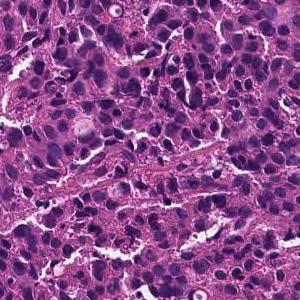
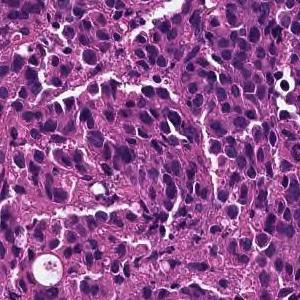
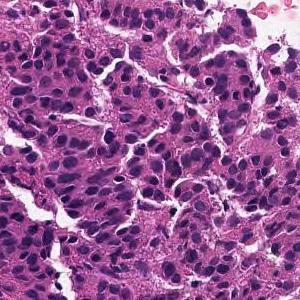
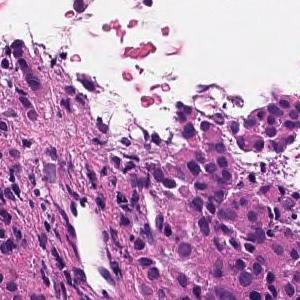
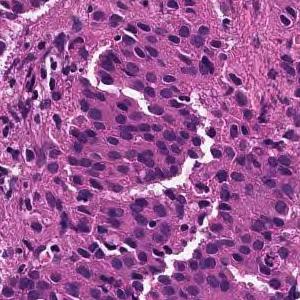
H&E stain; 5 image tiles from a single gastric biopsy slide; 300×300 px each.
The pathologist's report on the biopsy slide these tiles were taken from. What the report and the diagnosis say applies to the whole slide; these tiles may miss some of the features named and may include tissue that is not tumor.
The superficial epithelium shows a large sheet-like shape, and some tumor tissue infiltrates with small irregular ducts. Poorly differentiated adenocarcinoma, solid-type
Classified as poorly differentiated adenocarcinoma, solid type (Japanese Classification of Gastric Carcinoma). The WHO 2019 equivalent is tubular adenocarcinoma, poorly differentiated.
